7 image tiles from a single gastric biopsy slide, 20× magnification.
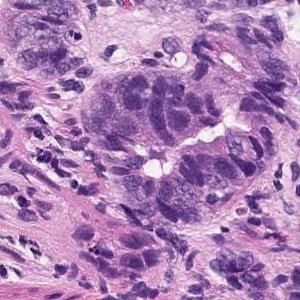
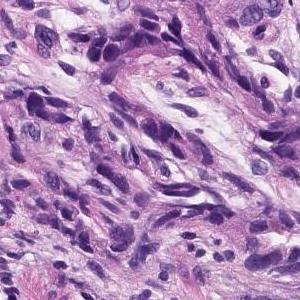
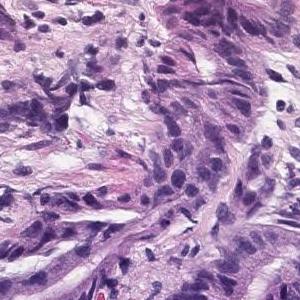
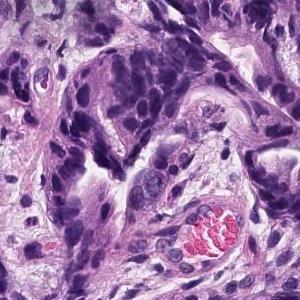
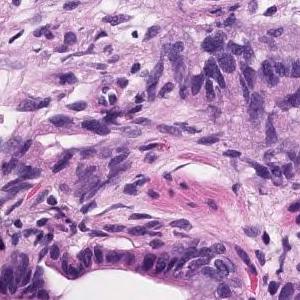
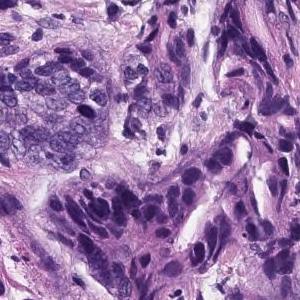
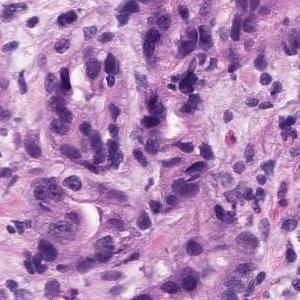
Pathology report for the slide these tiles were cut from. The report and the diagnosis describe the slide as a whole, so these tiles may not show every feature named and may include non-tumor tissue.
In the superficial epithelium, tumor tissue that invades by forming medium-sized to small, irregular ducts is observed. Moderately differentiated adenocarcinoma.
Histological subtype: Moderately differentiated tubular adenocarcinoma.
